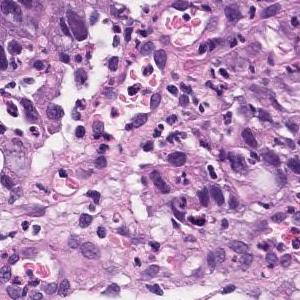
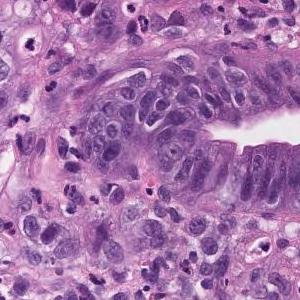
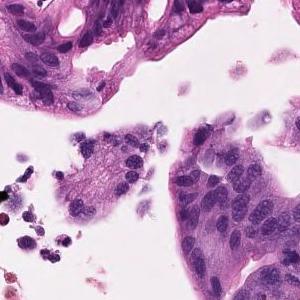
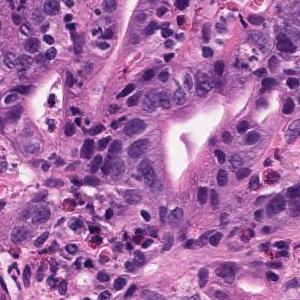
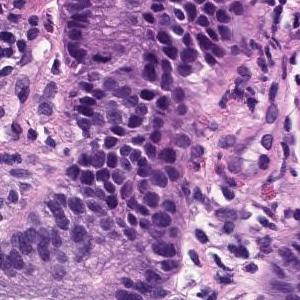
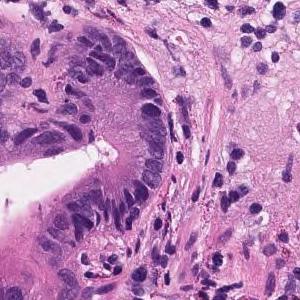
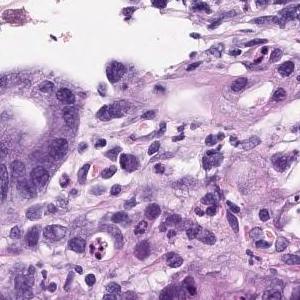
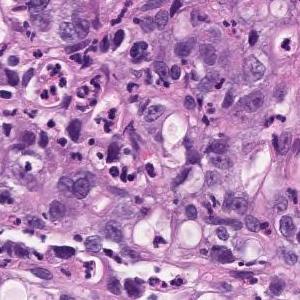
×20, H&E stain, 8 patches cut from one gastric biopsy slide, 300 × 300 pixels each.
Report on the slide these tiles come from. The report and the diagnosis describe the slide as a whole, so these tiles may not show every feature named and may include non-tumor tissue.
moderately differentiated tubular adenocarcinoma, Poorly differentiated adenocarcinoma
Dataset label: poorly differentiated adenocarcinoma, solid type. This name comes from the Japanese Classification of Gastric Carcinoma; the WHO 2019 classification calls it tubular adenocarcinoma, poorly differentiated.
